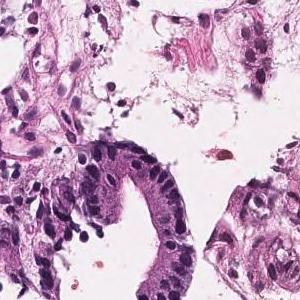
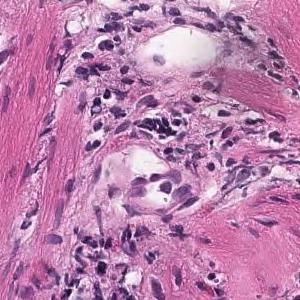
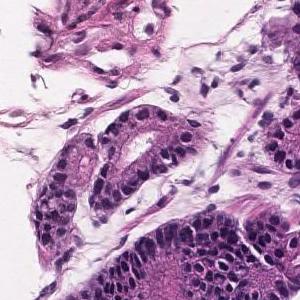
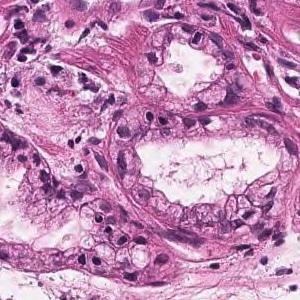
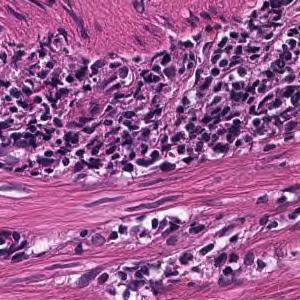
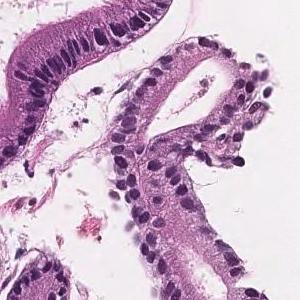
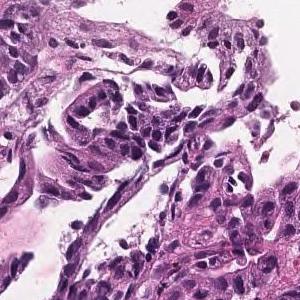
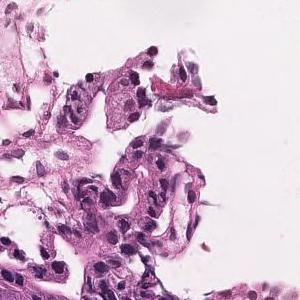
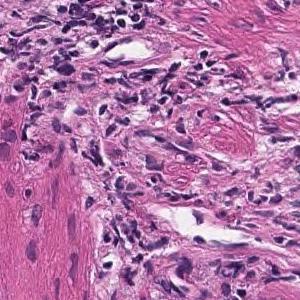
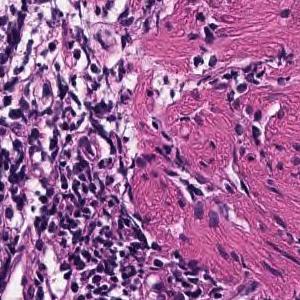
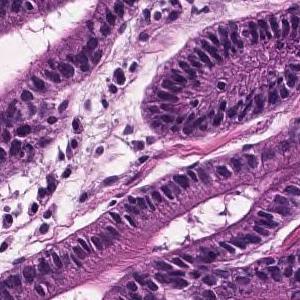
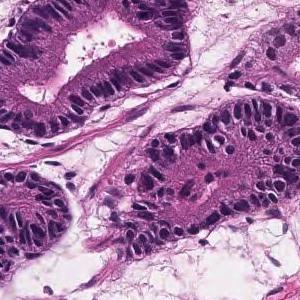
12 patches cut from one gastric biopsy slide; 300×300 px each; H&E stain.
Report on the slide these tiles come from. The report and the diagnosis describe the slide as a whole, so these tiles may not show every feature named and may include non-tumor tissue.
Tumor tissue with atypical epithelium showing irregular ductal or sieving ductal structure and proliferating is observed. Well to moderately differentiated tubular adenocarcinoma (well differentiated tubular adenocarcinoma-moderately differentiated tubular adenocarcinoma)
Histologic type: Well to moderately differentiated tubular adenocarcinoma.
